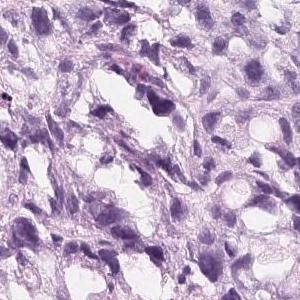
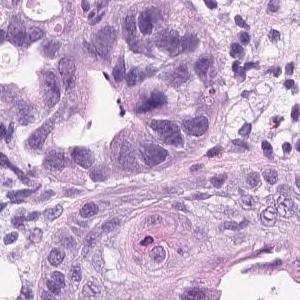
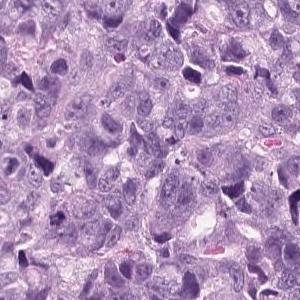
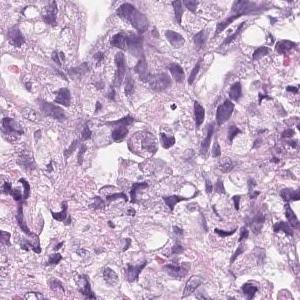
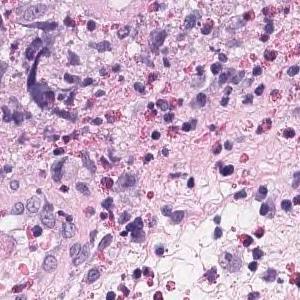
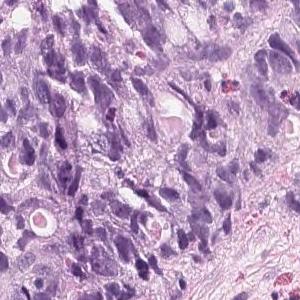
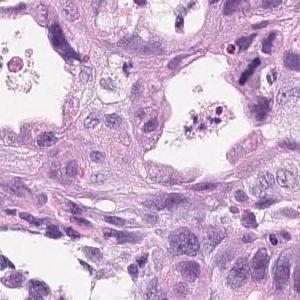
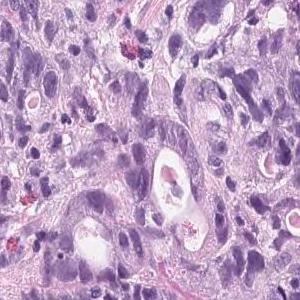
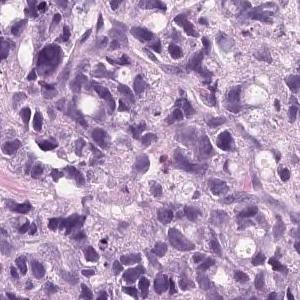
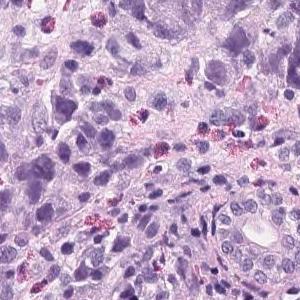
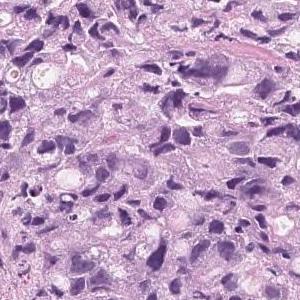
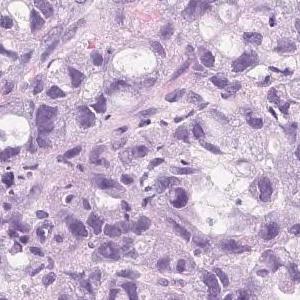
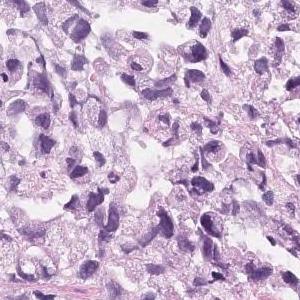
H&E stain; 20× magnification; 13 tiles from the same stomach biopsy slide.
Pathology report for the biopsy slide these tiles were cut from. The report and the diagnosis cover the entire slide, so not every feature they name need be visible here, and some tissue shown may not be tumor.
Tumor tissue that infiltrates and proliferates by forming small glandular cavities in the superficial layer to the submucosa or forming a mass is observed. moderately differentiated tubular adenocarcinoma
